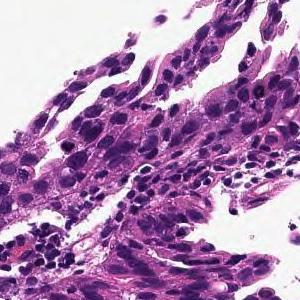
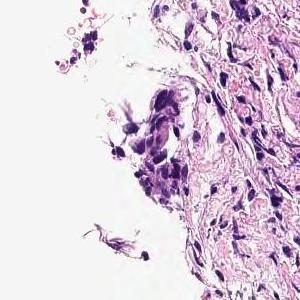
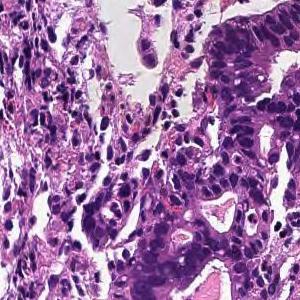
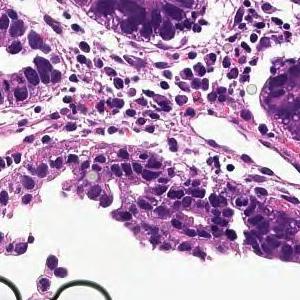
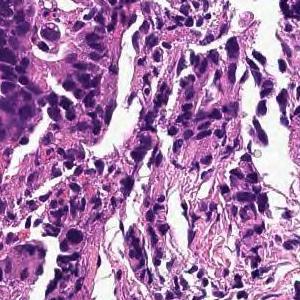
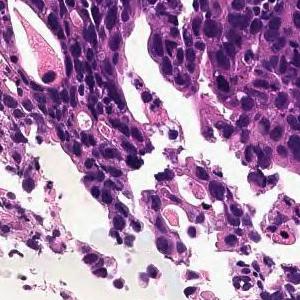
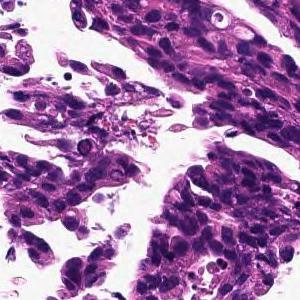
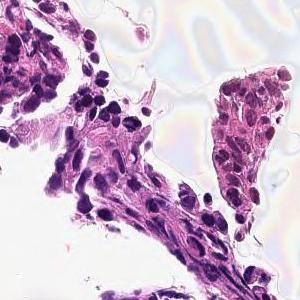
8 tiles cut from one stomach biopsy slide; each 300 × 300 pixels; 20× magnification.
Report on the slide these tiles come from. The findings and the diagnosis refer to the entire slide; these tiles show only part of it, possibly with non-tumor tissue, and may not show every feature named.
In the superficial epithelium, tumor tissue that invades by forming medium-sized to small, irregular ducts is observed. moderately differentiated tubular adenocarcinoma.
